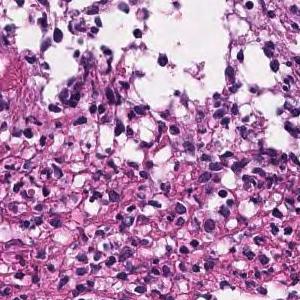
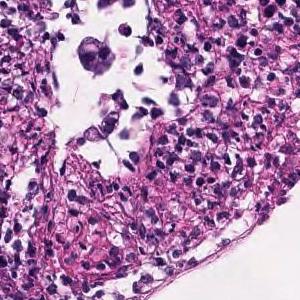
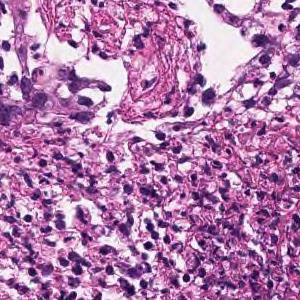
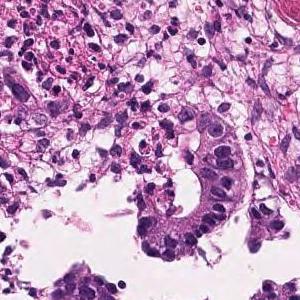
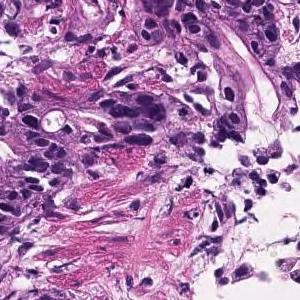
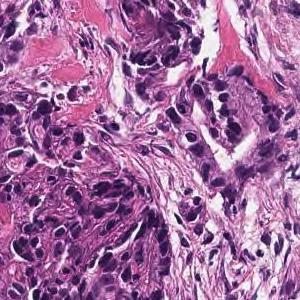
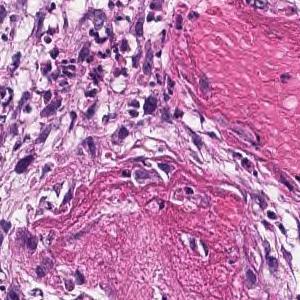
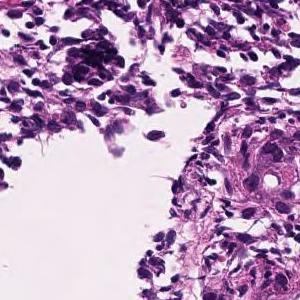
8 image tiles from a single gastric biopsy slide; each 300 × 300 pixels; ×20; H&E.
Pathology report for the biopsy slide these tiles were cut from. The report describes the whole slide, diagnosis included: not every finding it names need appear in these tiles, which may also show non-tumor tissue.
In the superficial epithelium, medium to small, irregular gland ducts are formed, and in some cases, the gland ducts are fused to show solid alveolar lesions and infiltrating tumor tissue is observed. Moderately to poorly differentiated adenocarcinoma.
